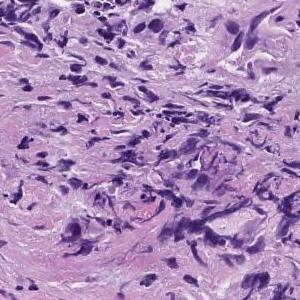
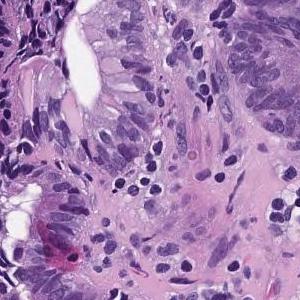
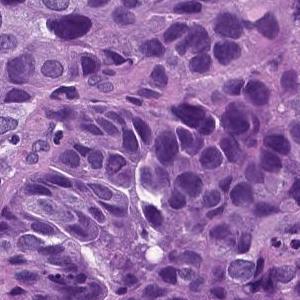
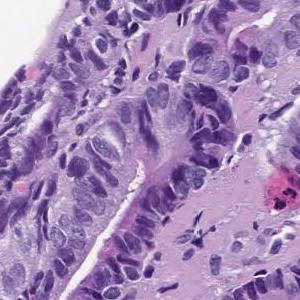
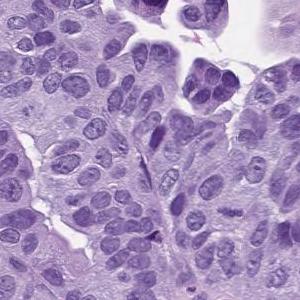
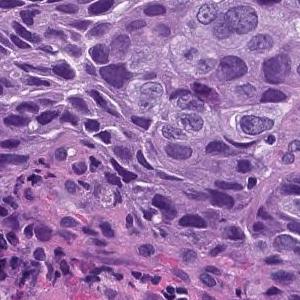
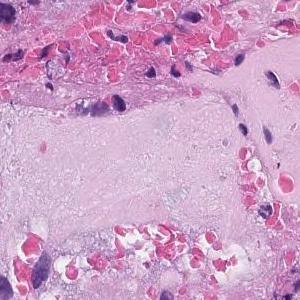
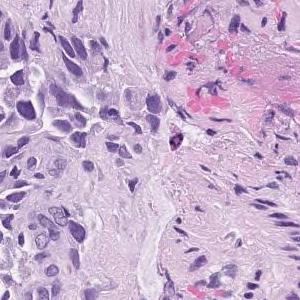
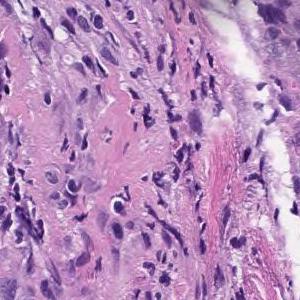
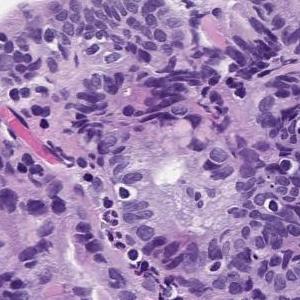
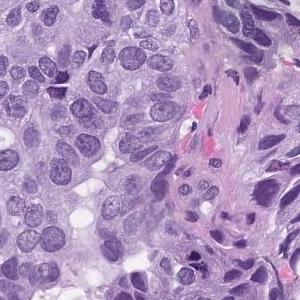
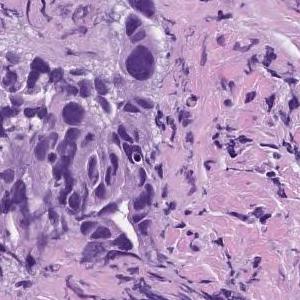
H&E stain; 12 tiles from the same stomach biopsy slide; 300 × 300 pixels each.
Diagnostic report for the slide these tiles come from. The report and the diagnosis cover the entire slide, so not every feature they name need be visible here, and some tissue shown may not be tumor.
In the superficial epithelium, tumor tissue that invades by forming medium-sized to small, irregular ducts is observed. moderately differentiated tubular adenocarcinoma.
